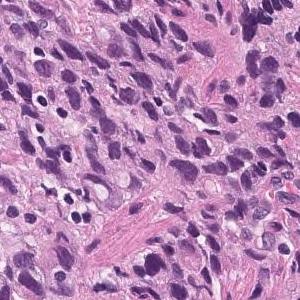
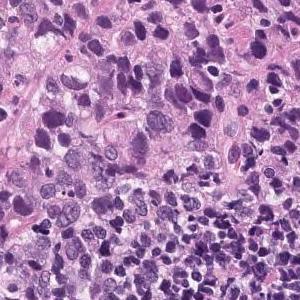
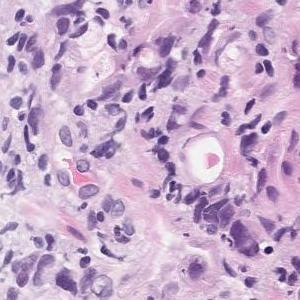
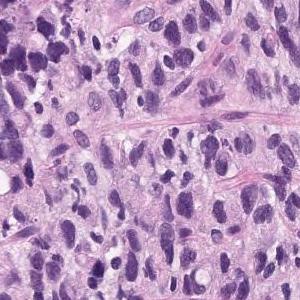
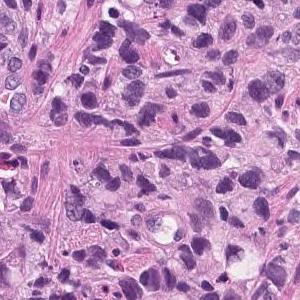
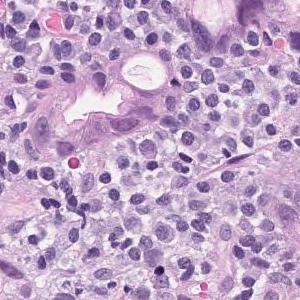
6 image tiles from a single gastric biopsy slide; H&E stain.
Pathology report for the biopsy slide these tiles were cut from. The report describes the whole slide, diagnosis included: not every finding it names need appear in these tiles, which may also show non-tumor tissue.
Tumor tissue consisting of medium-sized, cord-like or irregular glandular infiltration is observed in the superficial epithelium. Poorly differentiated adenocarcinoma, non-solid type or moderately differentiated tubular adenocarcinoma
Labeled in the dataset as poorly differentiated adenocarcinoma, non-solid type.
"Non-solid type" is a category of the Japanese Classification of Gastric Carcinoma.
